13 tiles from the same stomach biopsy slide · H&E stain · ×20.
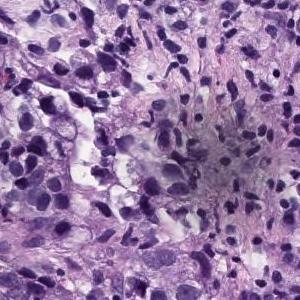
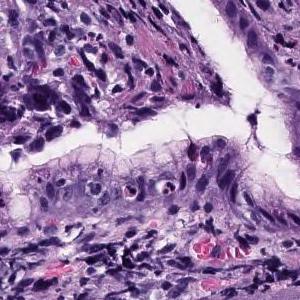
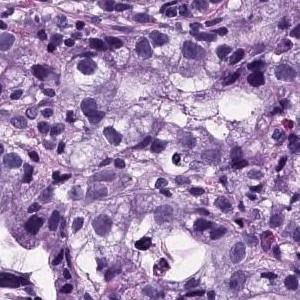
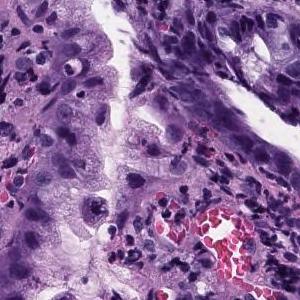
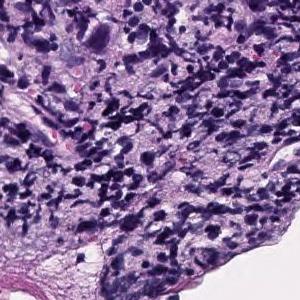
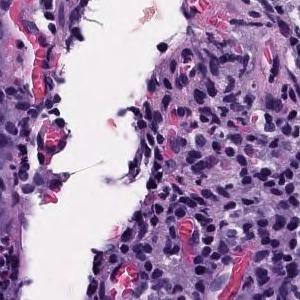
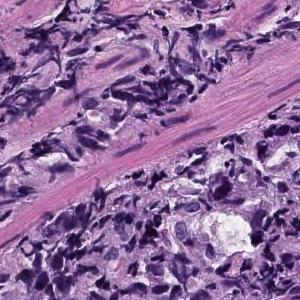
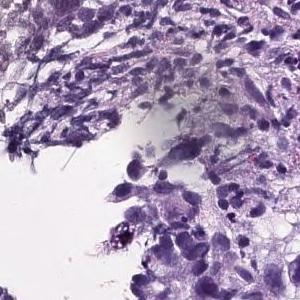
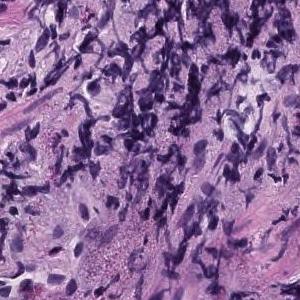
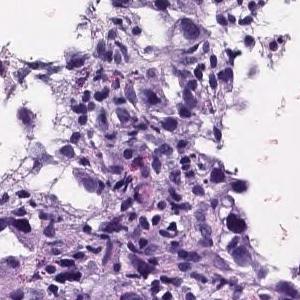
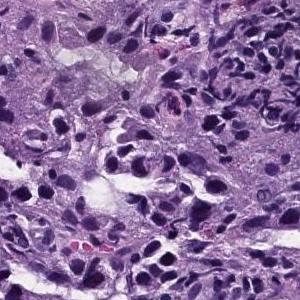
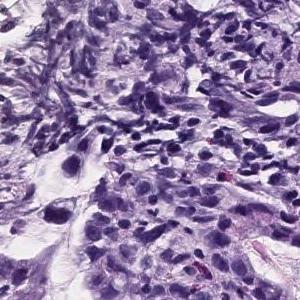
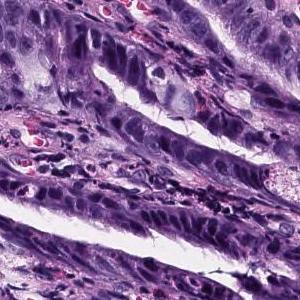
Diagnostic report for the slide these tiles come from. The report and the diagnosis describe the slide as a whole, so these tiles may not show every feature named and may include non-tumor tissue.
Atypical epithelial cells infiltrating and proliferating while forming solid or cord-like fused glandular cavities of different sizes is observed. moderately differentiated tubular adenocarcinoma, poorly differentiated adenocarcinoma.
Histologic type: Moderately to poorly differentiated adenocarcinoma.
